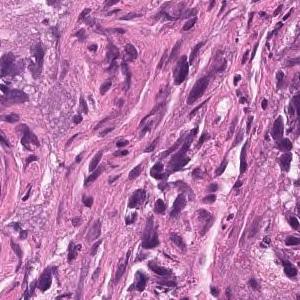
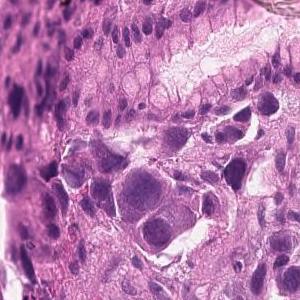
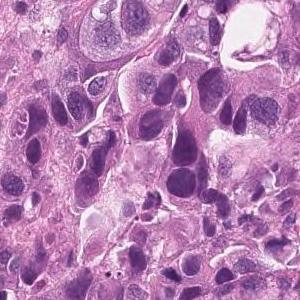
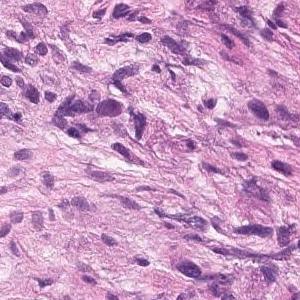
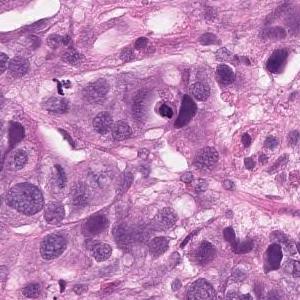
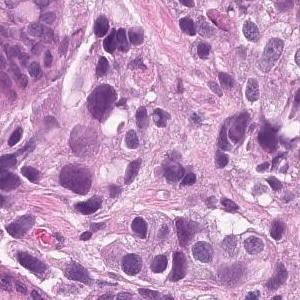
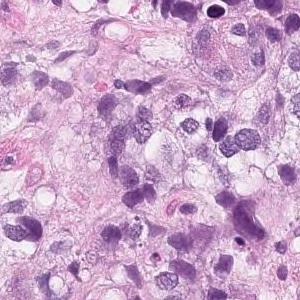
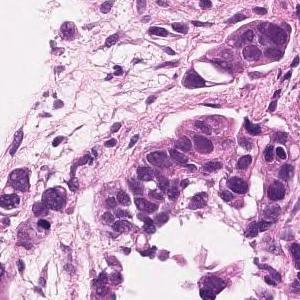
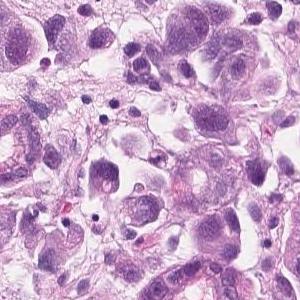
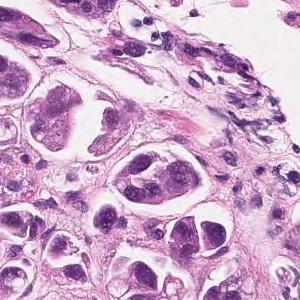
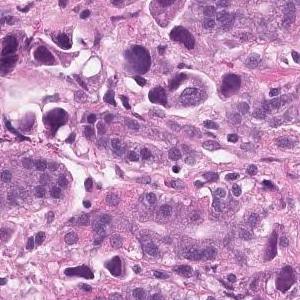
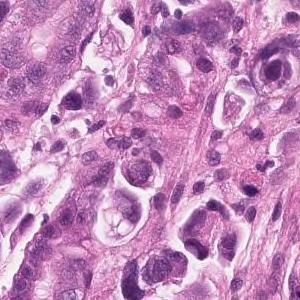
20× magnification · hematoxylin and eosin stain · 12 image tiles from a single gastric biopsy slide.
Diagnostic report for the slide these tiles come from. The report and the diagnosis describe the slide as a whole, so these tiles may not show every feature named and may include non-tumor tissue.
Tumor tissue that infiltrates the epithelium in an alveolar manner. Poorly differentiated adenocarcinoma, solid-type
Classified as poorly differentiated adenocarcinoma, solid type (Japanese Classification of Gastric Carcinoma). The WHO 2019 equivalent is tubular adenocarcinoma, poorly differentiated.
